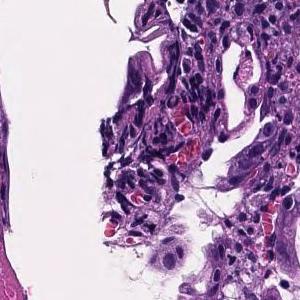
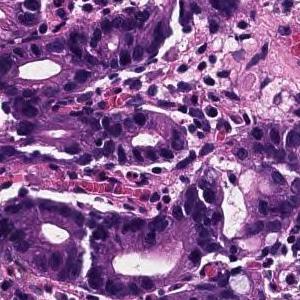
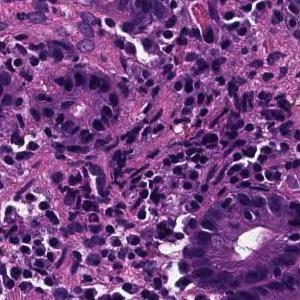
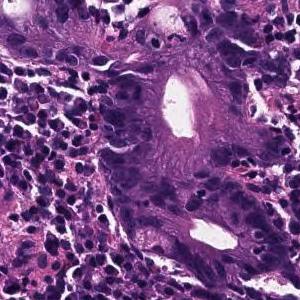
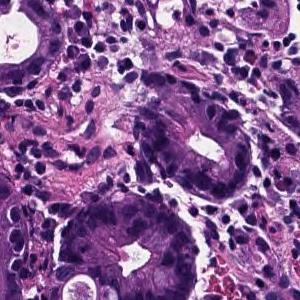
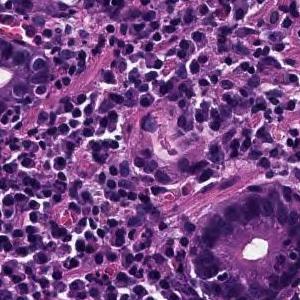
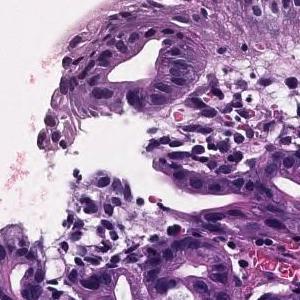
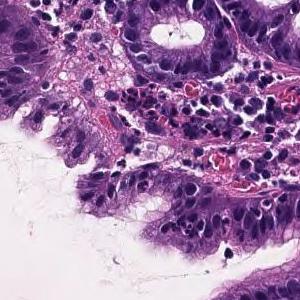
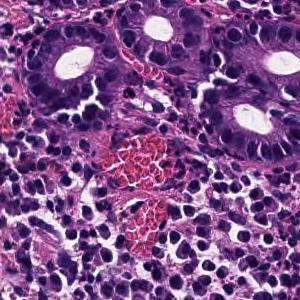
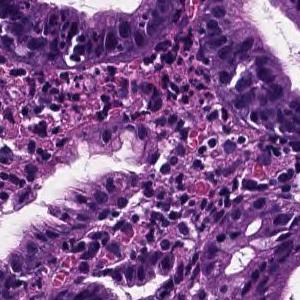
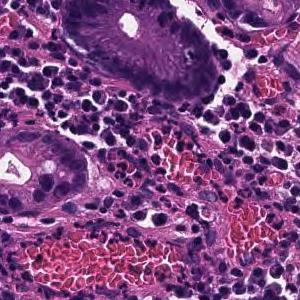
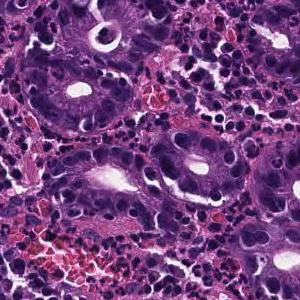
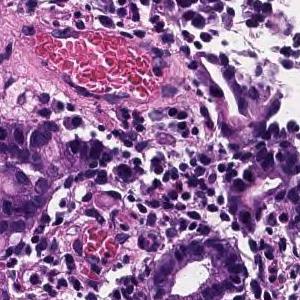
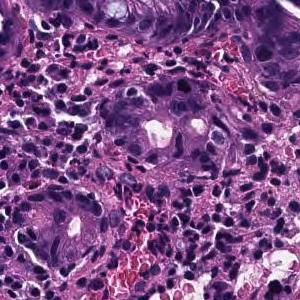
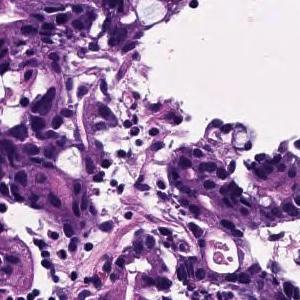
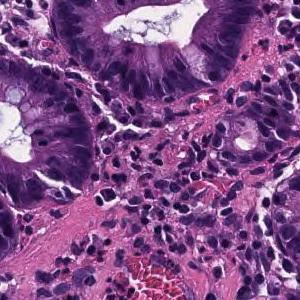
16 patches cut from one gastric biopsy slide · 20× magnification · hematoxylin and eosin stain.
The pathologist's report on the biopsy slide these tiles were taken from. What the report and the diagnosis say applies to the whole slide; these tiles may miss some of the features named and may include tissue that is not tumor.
In the superficial epithelium, tumor tissue that invades by forming medium-sized to small, irregular ducts is observed. moderately differentiated tubular adenocarcinoma.
